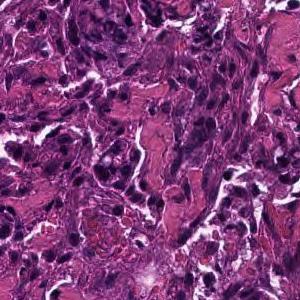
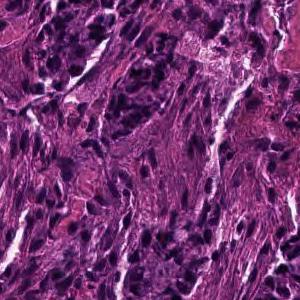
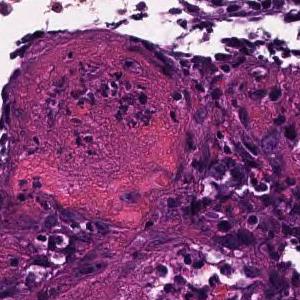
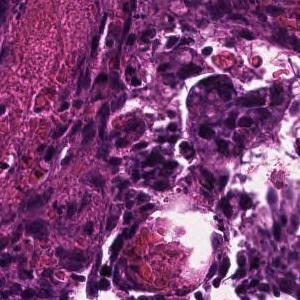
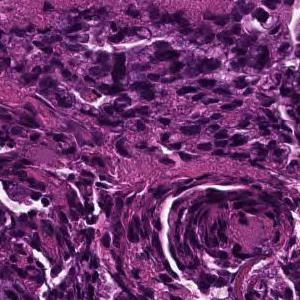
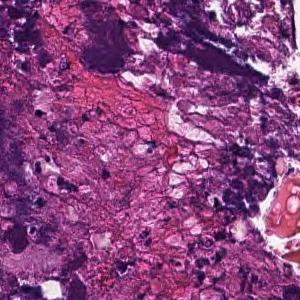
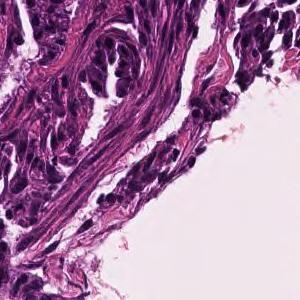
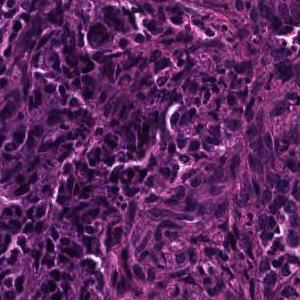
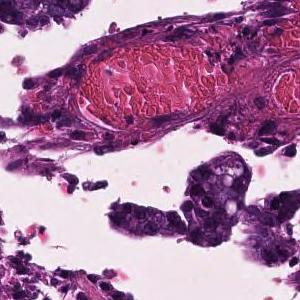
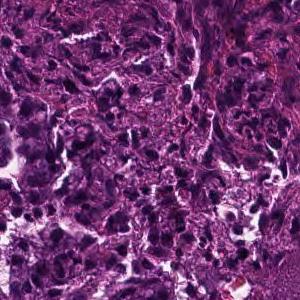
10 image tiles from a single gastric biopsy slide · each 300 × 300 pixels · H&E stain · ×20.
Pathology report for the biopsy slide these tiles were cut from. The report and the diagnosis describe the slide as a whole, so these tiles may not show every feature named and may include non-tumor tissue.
Tumor tissue consisting of medium-sized, cord-like or irregular glandular infiltration is observed in the superficial epithelium. Poorly differentiated adenocarcinoma, non-solid type or moderately differentiated tubular adenocarcinoma
Classified as moderately to poorly differentiated adenocarcinoma.
The non-solid type named here is a Japanese Classification of Gastric Carcinoma category.
